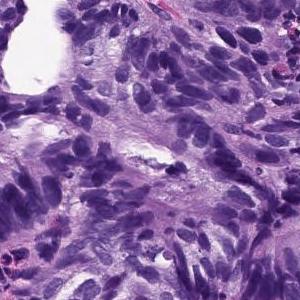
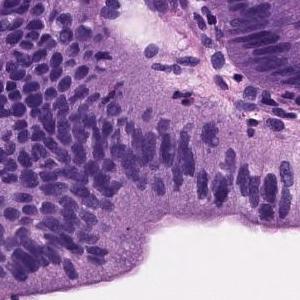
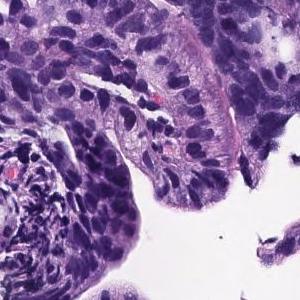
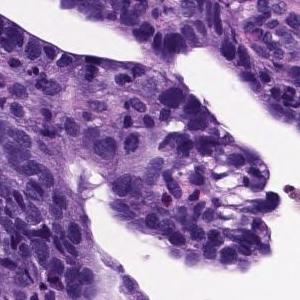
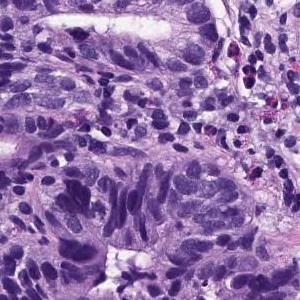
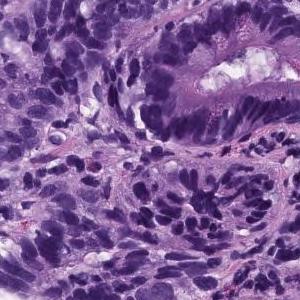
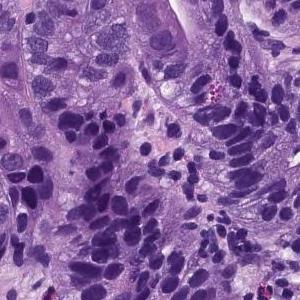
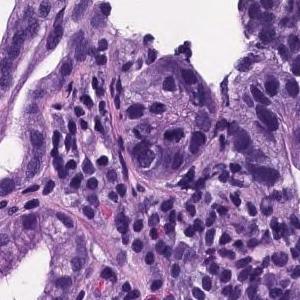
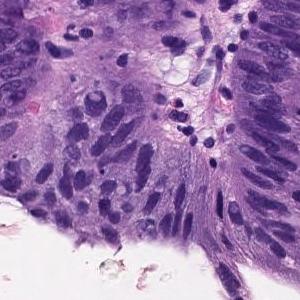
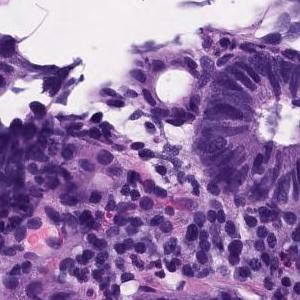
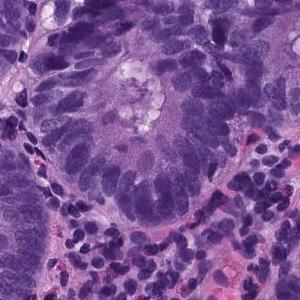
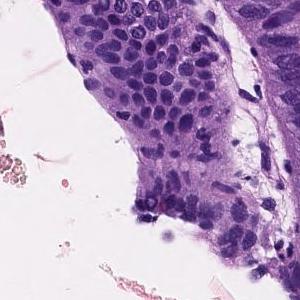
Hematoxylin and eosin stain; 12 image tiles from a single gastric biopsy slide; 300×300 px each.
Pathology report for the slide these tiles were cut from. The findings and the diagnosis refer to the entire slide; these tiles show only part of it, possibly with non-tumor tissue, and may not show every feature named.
Atypical epithelial cells are proliferating to replace the foveolar epithelium is observed. Well differentiated tubular adenocarcinoma.
